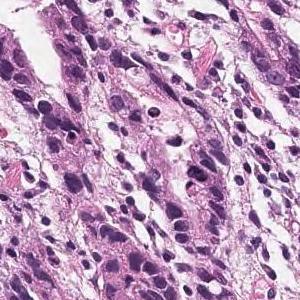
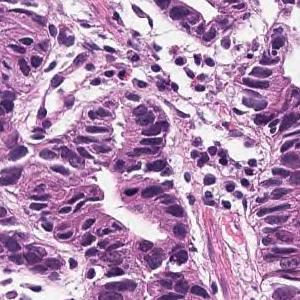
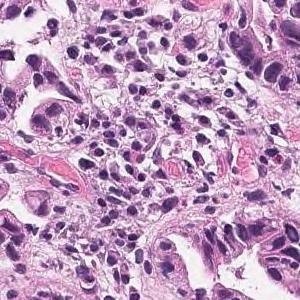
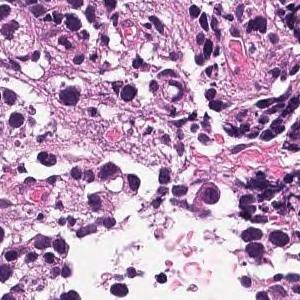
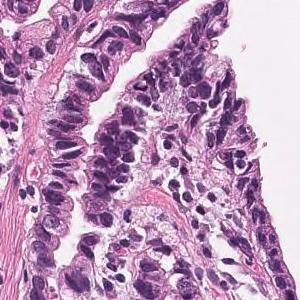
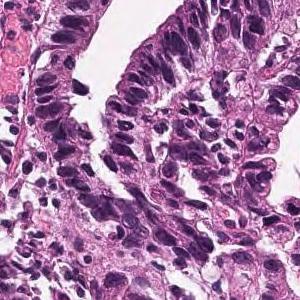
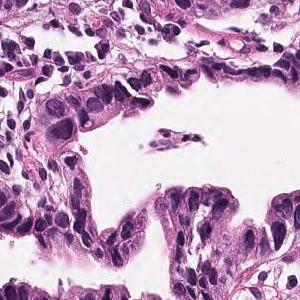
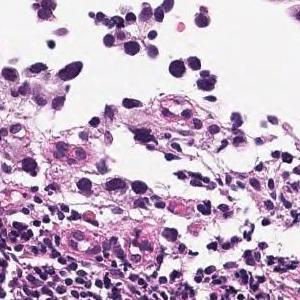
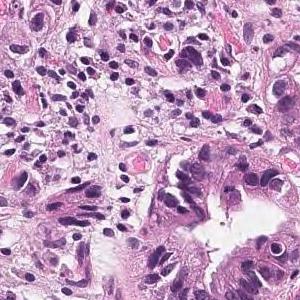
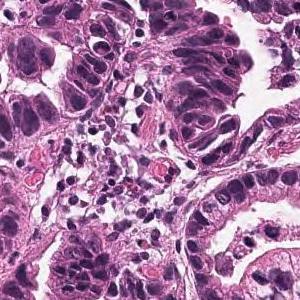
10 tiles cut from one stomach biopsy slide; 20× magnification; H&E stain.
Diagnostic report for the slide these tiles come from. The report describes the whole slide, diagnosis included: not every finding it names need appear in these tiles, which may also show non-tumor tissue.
Medium to small, irregular glandular ducts are formed in the superficial epithelium, and in some cases, the glandular ducts are fused to show solid alveolar lesions and infiltrating tumor tissue is observed. Moderately to poorly differentiated adenocarcinoma.
